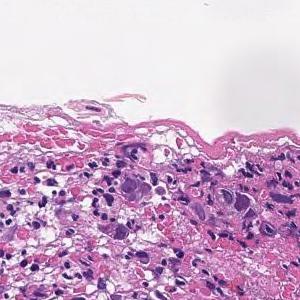
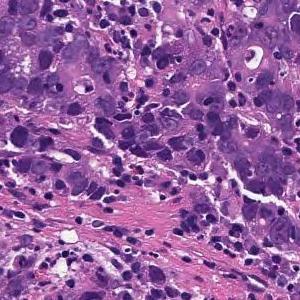
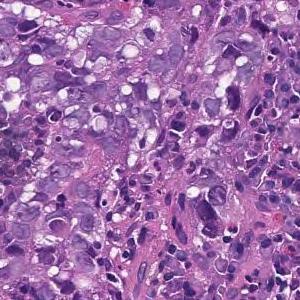
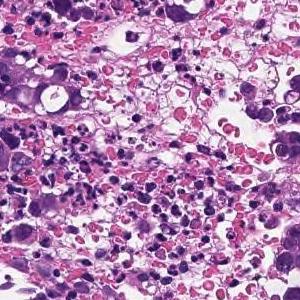
H&E stain, ×20, 4 image tiles from a single gastric biopsy slide.
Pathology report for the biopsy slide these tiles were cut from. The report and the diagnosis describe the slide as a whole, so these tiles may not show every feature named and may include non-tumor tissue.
Tumor tissue consisting of cord-like or small, irregular glandular ducts fused and infiltrated is observed in the superficial epithelium. Poorly differentiated adenocarcinoma, non-solid type
The term "non-solid type" comes from the Japanese Classification of Gastric Carcinoma.
